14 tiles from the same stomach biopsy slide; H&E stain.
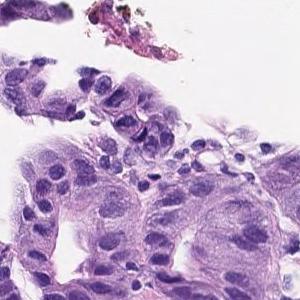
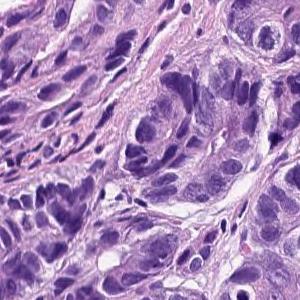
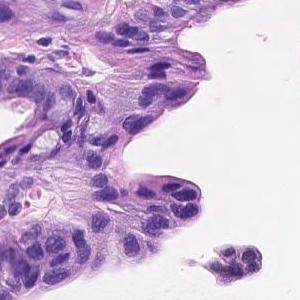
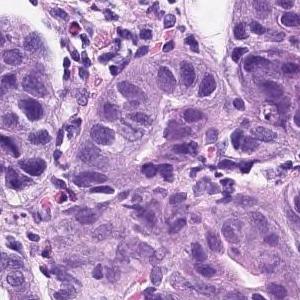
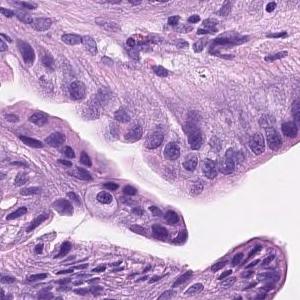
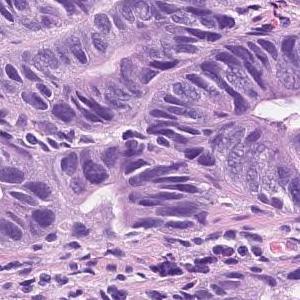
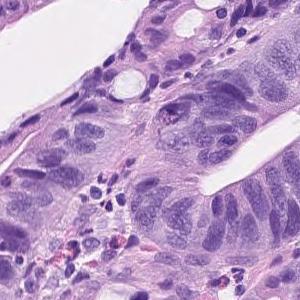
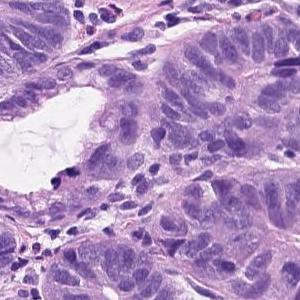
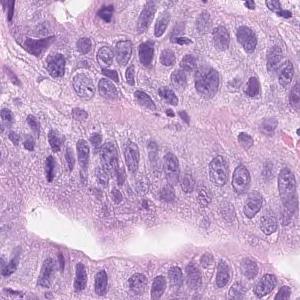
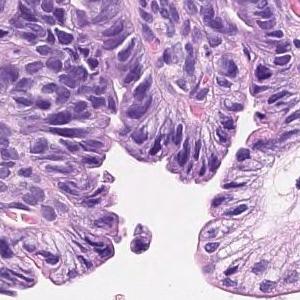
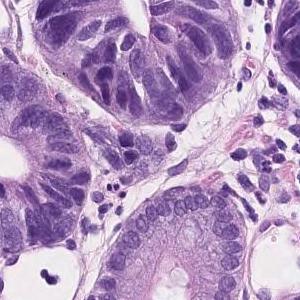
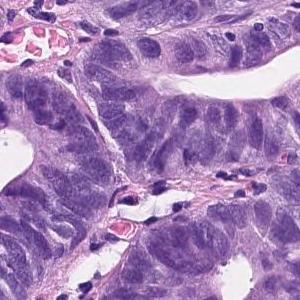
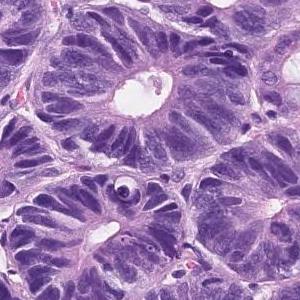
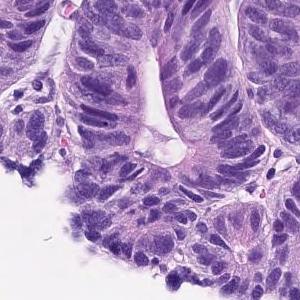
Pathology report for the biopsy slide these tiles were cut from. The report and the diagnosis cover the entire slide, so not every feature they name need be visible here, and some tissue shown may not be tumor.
Tumor tissue consisting of medium-sized and irregular ducts is observed infiltrating in the superficial epithelium. Tumor cells are highly columnar, with nuclei aligned basolaterally and polarized. Well differentiated tubular adenocarcinoma.
